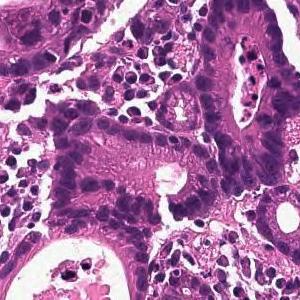
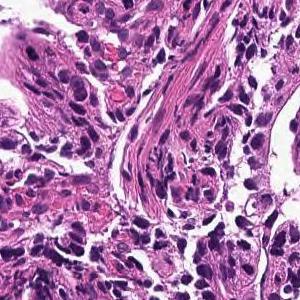
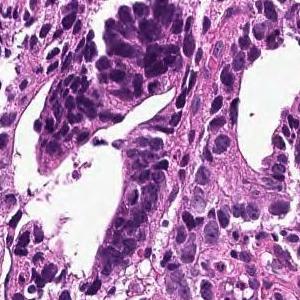
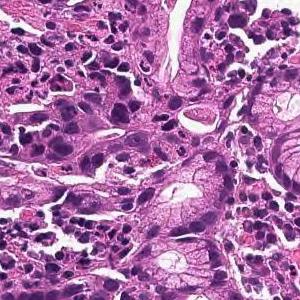
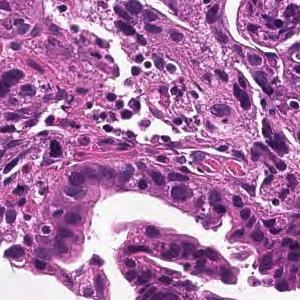
H&E stain; ×20; 5 patches cut from one gastric biopsy slide; 300×300 px each.
Report on the slide these tiles come from. The report describes the whole slide, diagnosis included: not every finding it names need appear in these tiles, which may also show non-tumor tissue.
On the superficial epithelium, tumor tissue consisting of large, irregular glandular ducts partially fused and infiltrated is observed. Well to moderately differentiated tubular adenocarcinoma (well differentiated tubular adenocarcinoma, moderately differentiated tubular adenocarcinoma)
Classified as well to moderately differentiated tubular adenocarcinoma.
